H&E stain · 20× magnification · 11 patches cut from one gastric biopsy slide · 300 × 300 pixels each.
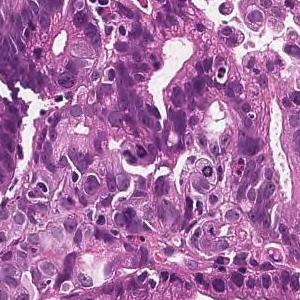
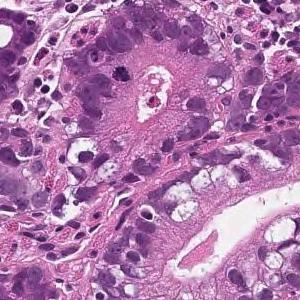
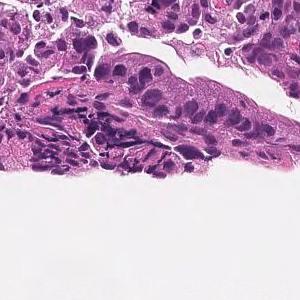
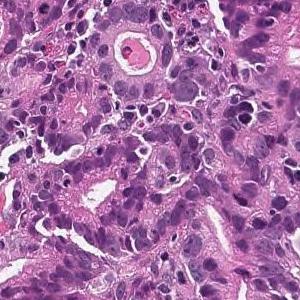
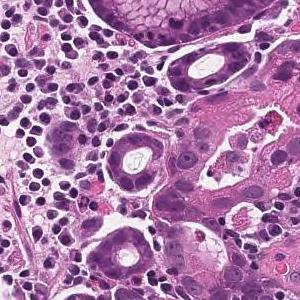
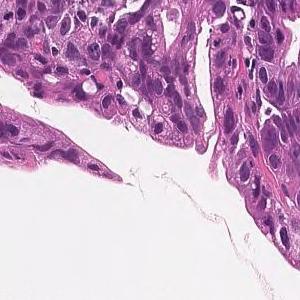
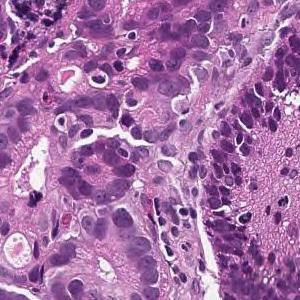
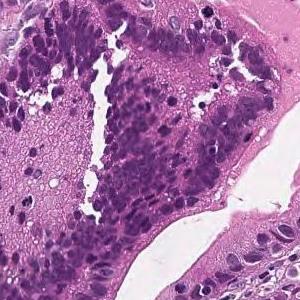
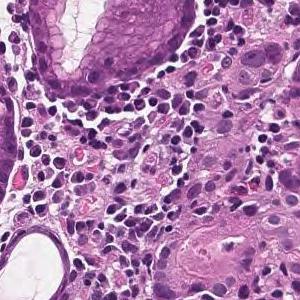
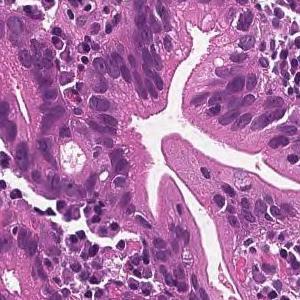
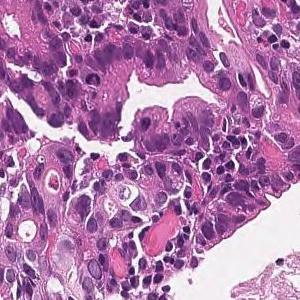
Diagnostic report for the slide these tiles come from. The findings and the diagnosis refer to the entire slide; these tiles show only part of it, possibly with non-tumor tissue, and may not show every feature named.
From the superficial epithelium to the muscularis mucosae, tumor tissue consisting of medium-sized and irregular glandular ducts infiltrating is observed. Well differentiated tubular adenocarcinoma
